13 tiles from the same stomach biopsy slide, 300×300 px each, ×20.
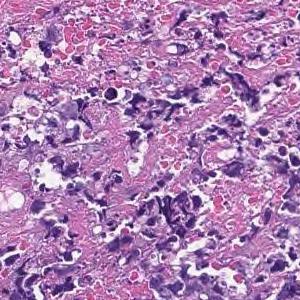
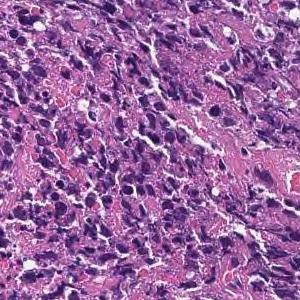
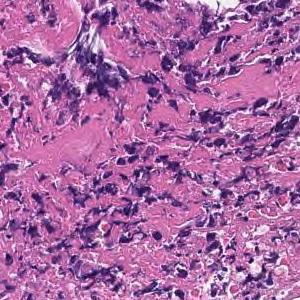
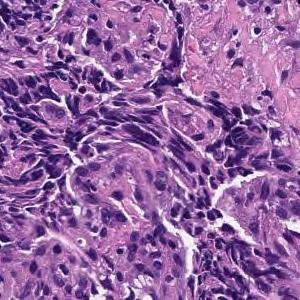
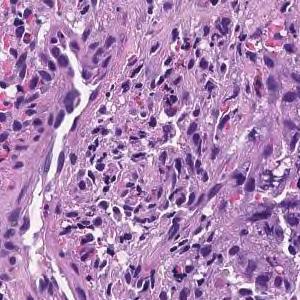
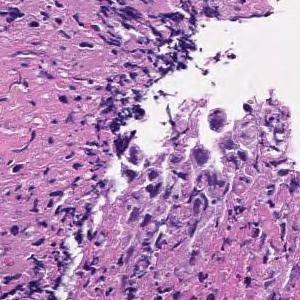
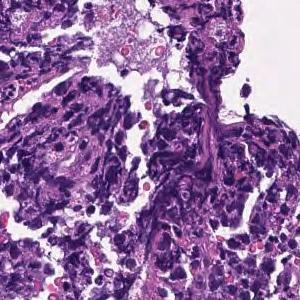
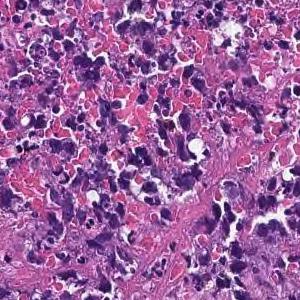
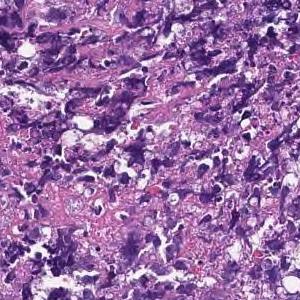
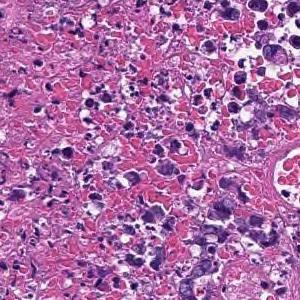
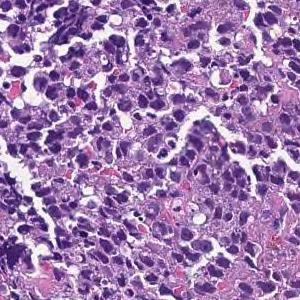
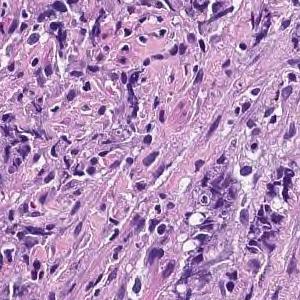
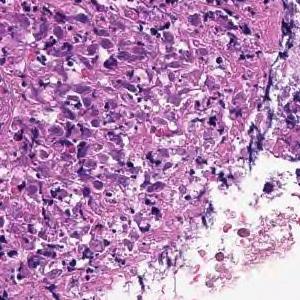
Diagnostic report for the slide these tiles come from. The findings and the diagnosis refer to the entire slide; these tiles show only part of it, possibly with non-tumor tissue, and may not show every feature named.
Most are composed of coagulative necrotic tissue, but some show a large sheet-like shape, and some show tumor tissue infiltrating with a small cord-like structure. Poorly differentiated adenocarcinoma, solid-type
Histological subtype: Poorly differentiated adenocarcinoma, solid type, a category of the Japanese Classification of Gastric Carcinoma; in the WHO 2019 classification it is tubular adenocarcinoma, poorly differentiated.
